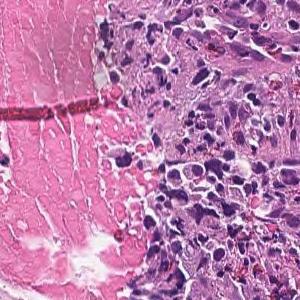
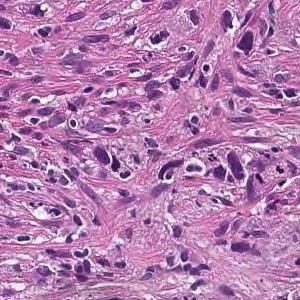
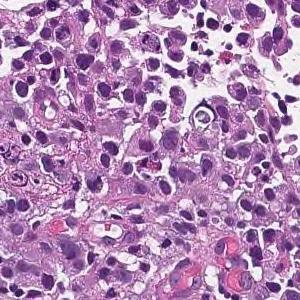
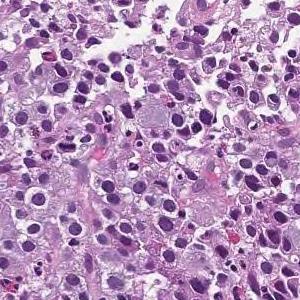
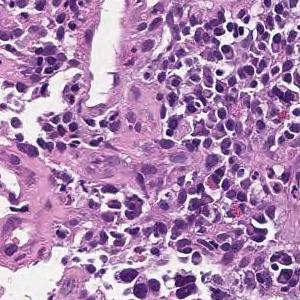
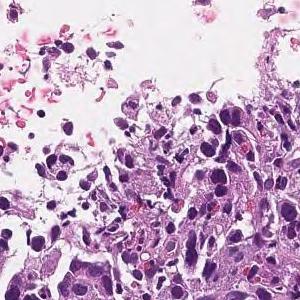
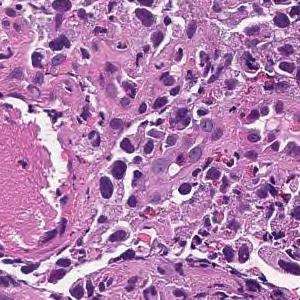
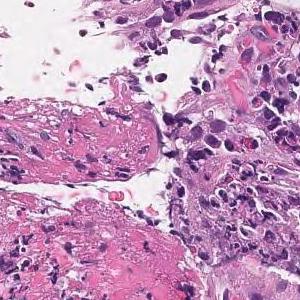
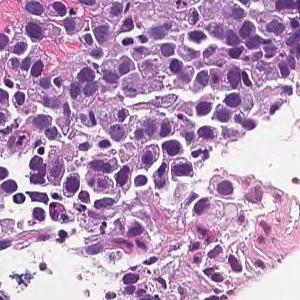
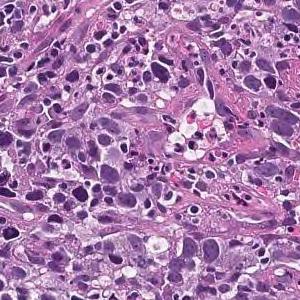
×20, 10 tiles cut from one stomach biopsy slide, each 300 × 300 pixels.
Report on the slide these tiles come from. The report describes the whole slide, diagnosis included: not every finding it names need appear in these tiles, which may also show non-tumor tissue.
The superficial epithelium shows a large sheet-like shape, and some tumor tissue infiltrates with small irregular ducts. Poorly differentiated adenocarcinoma, solid-type
Histologic type: Poorly differentiated adenocarcinoma, solid type, a category of the Japanese Classification of Gastric Carcinoma; in the WHO 2019 classification it is tubular adenocarcinoma, poorly differentiated.
